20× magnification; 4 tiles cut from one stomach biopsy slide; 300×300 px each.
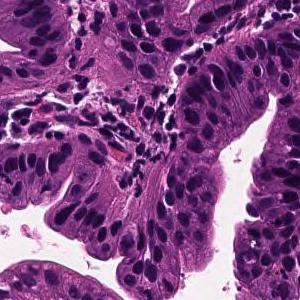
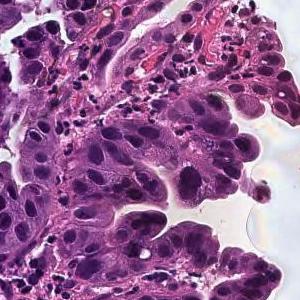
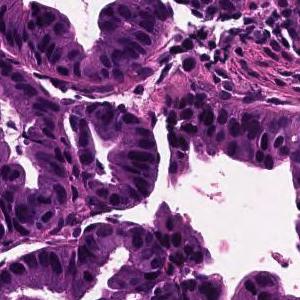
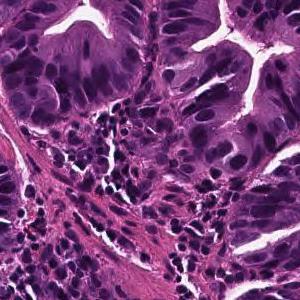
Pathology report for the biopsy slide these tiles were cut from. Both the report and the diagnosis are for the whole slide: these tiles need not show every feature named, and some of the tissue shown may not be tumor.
Tumor cells are large, highly columnar, large club-shaped nuclei, and are associated with chromatin aggregation. Papillary adenocarcinoma.
